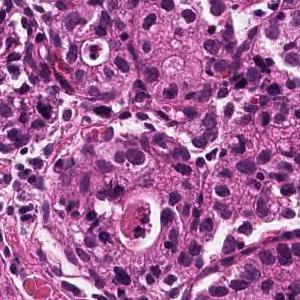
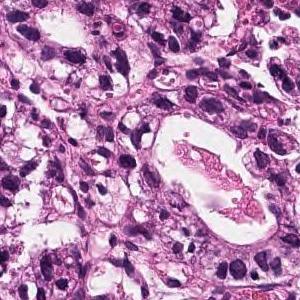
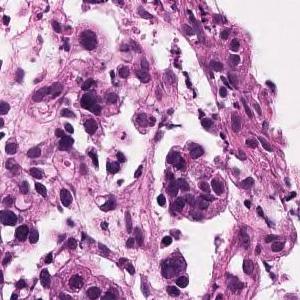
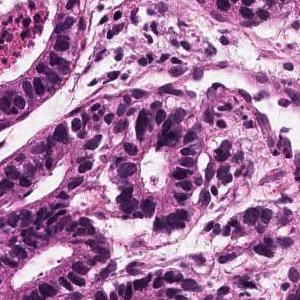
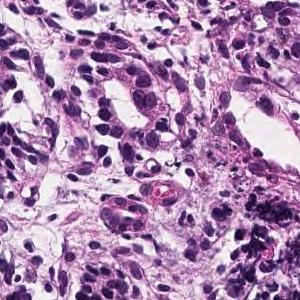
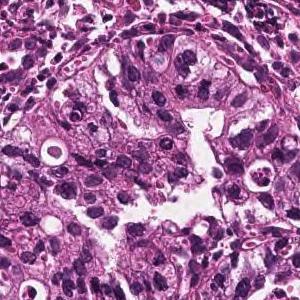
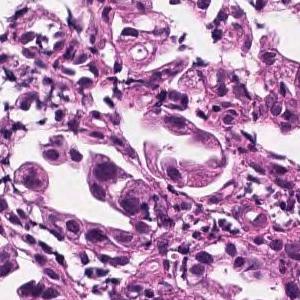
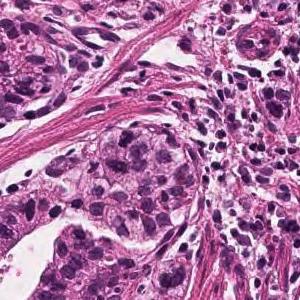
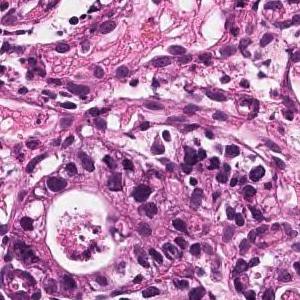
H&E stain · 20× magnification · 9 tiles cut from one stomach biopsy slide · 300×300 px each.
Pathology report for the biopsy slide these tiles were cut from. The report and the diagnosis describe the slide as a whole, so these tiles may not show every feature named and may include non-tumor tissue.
Tumor tissue consisting of medium-sized and irregular ducts is observed infiltrating in the superficial epithelium. Tumor cells are highly columnar, with nuclei aligned basolaterally and polarized. Well differentiated tubular adenocarcinoma.
